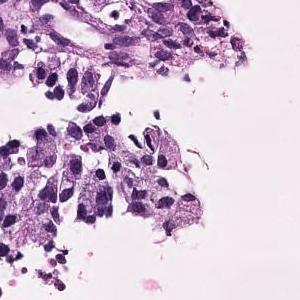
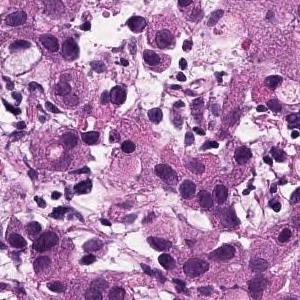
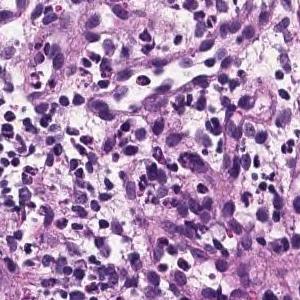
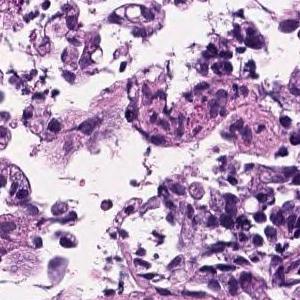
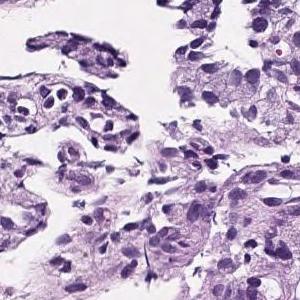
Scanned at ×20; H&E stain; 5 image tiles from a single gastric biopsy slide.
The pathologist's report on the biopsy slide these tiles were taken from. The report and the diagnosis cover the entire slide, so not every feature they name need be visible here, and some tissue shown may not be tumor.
Tumor tissue infiltrated by irregular fusion of small cord-like structures is found in the superficial epithelium. Poorly differentiated adenocarcinoma, non-solid type
The non-solid type named here is a Japanese Classification of Gastric Carcinoma category.
